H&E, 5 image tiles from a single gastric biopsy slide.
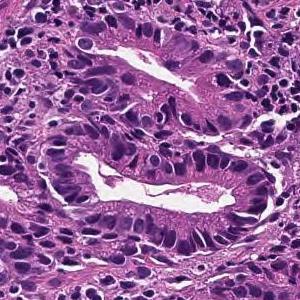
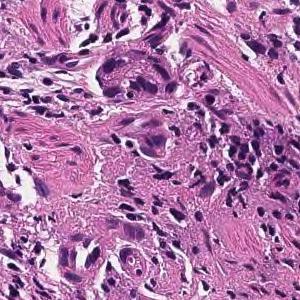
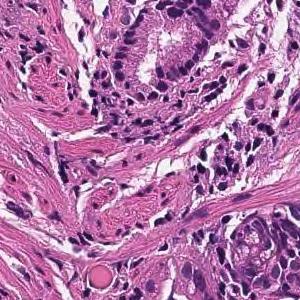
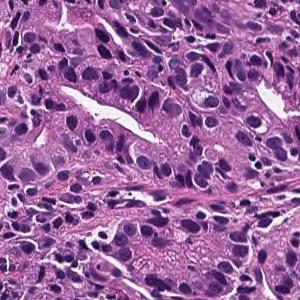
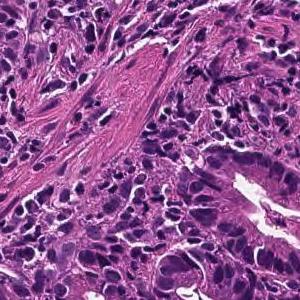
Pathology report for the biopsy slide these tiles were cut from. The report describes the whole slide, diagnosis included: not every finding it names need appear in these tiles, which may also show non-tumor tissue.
On the superficial epithelium, tumor tissue is found in which medium-sized irregular gland ducts fuse with each other and infiltrate. moderately differentiated tubular adenocarcinoma or Poorly differentiated adenocarcinoma, non-solid type
Tumor subtype: moderately to poorly differentiated adenocarcinoma.
"Non-solid type" is a category of the Japanese Classification of Gastric Carcinoma.
